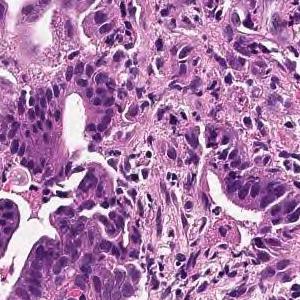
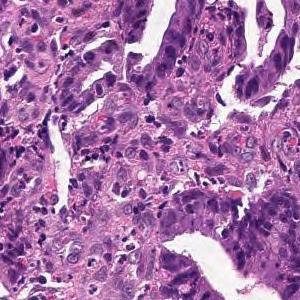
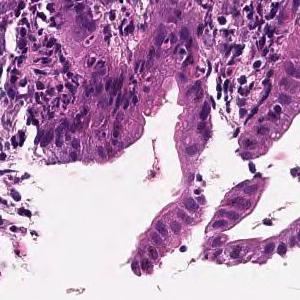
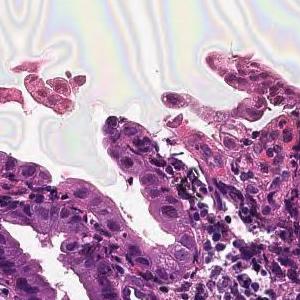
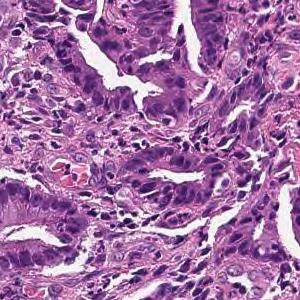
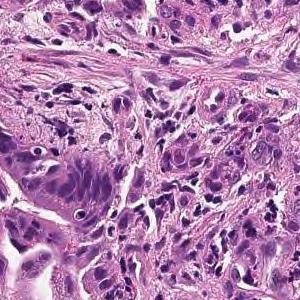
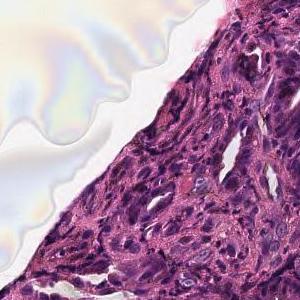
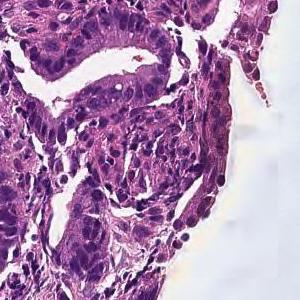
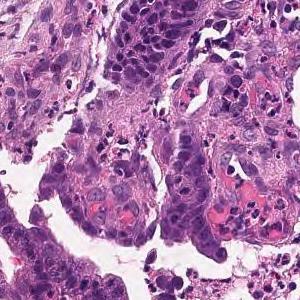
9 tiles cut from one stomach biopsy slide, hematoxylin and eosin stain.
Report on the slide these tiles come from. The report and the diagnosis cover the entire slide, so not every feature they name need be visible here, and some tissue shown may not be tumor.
From the superficial epithelium to the muscularis mucosae, tumor tissue consisting of medium-sized and irregular glandular ducts infiltrating is observed. Well differentiated tubular adenocarcinoma
